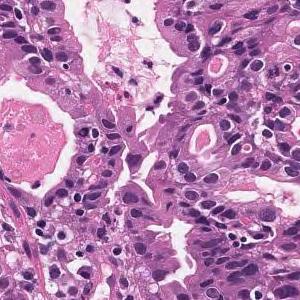
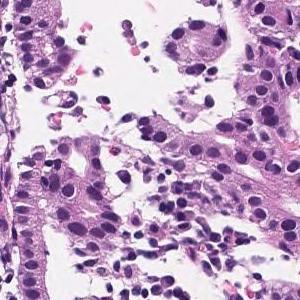
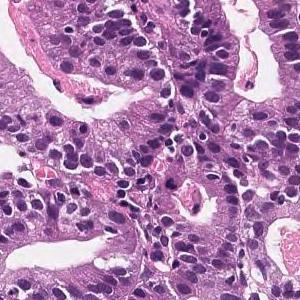
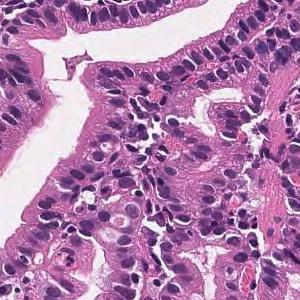
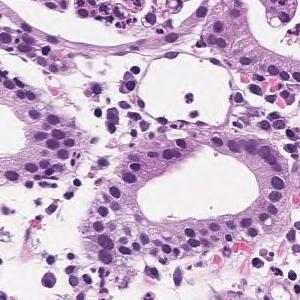
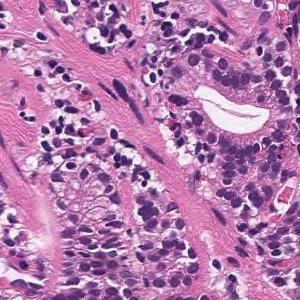
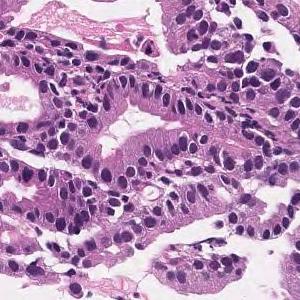
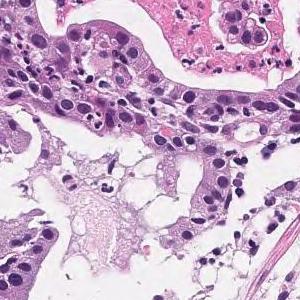
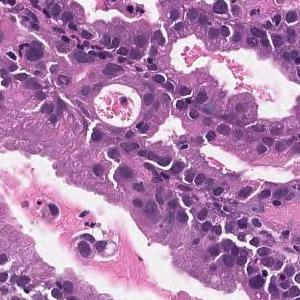
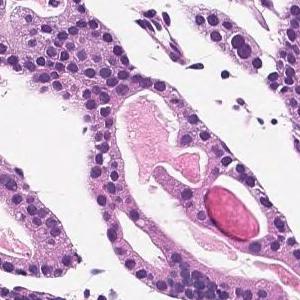
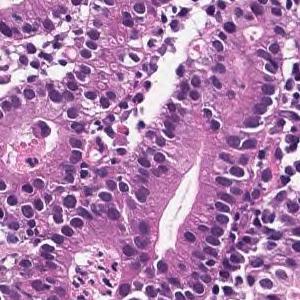
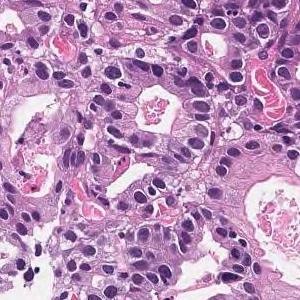
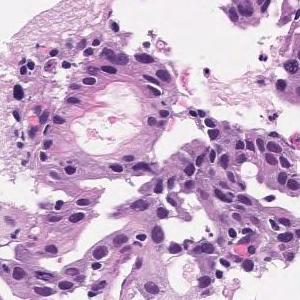
20× magnification, H&E stain, 13 tiles cut from one stomach biopsy slide, 300×300 px each.
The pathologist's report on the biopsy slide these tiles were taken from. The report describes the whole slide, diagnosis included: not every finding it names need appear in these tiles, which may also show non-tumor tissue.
Medium to small, irregular glandular ducts are formed in the superficial epithelium, and in some cases, the glandular ducts are fused to show solid alveolar lesions and infiltrating tumor tissue is observed. Moderately to poorly differentiated adenocarcinoma.
